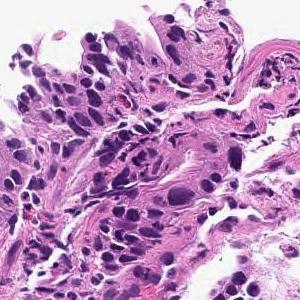
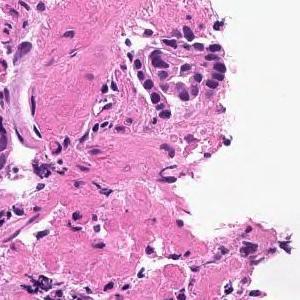
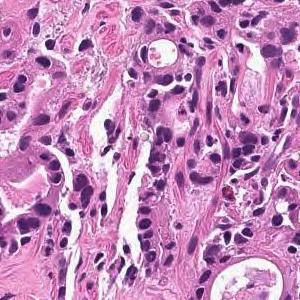
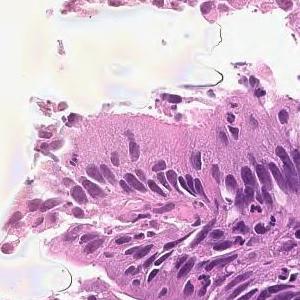
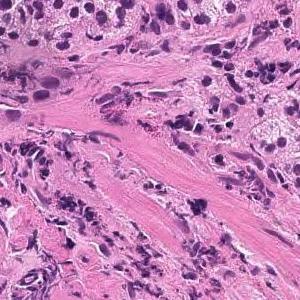
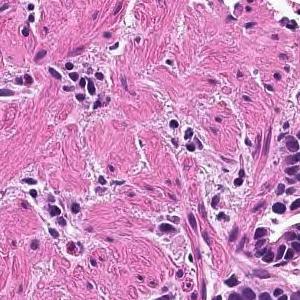
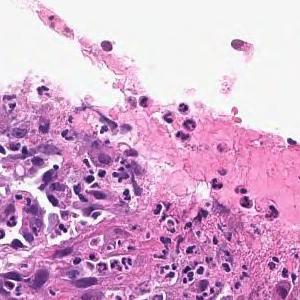
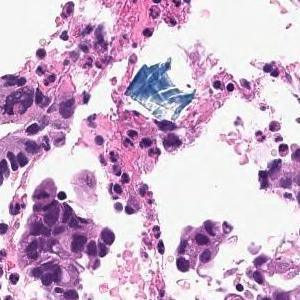
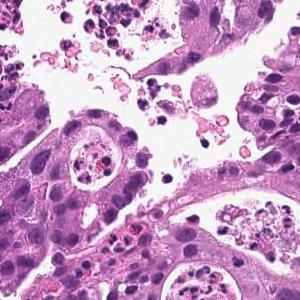
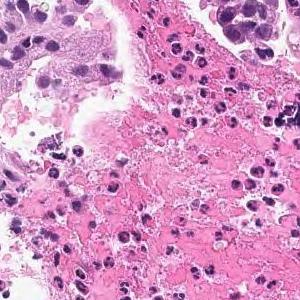
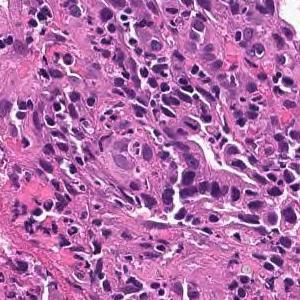
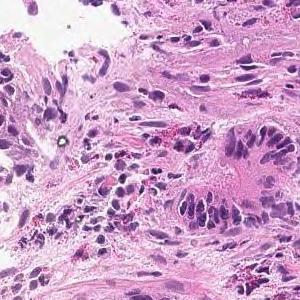
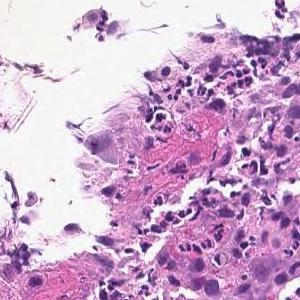
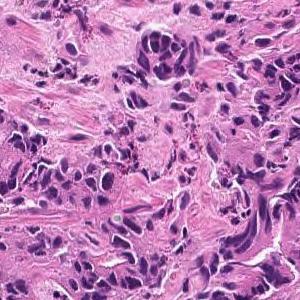
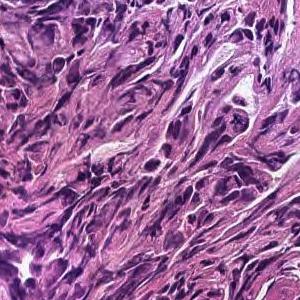
H&E stain, scanned at ×20, 15 image tiles from a single gastric biopsy slide.
The pathologist's report on the biopsy slide these tiles were taken from. The report describes the whole slide, diagnosis included: not every finding it names need appear in these tiles, which may also show non-tumor tissue.
On the superficial epithelium, tumor tissue consisting of large irregular glandular ducts partially fused and infiltrated is observed. Well to moderately differentiated tubular adenocarcinoma (well differentiated tubular adenocarcinoma, moderately differentiated tubular adenocarcinoma)
Histological subtype: Well to moderately differentiated tubular adenocarcinoma.
